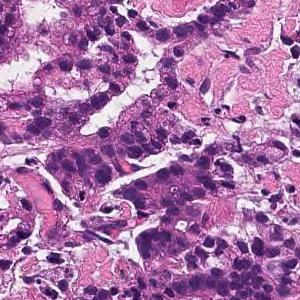
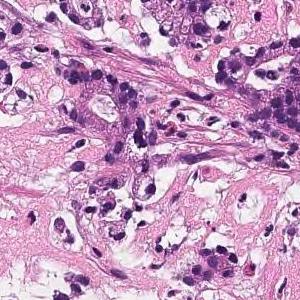
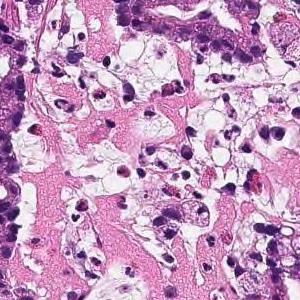
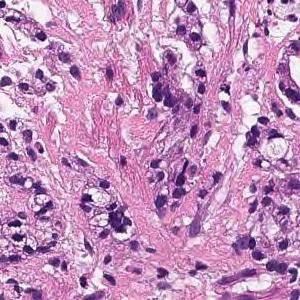
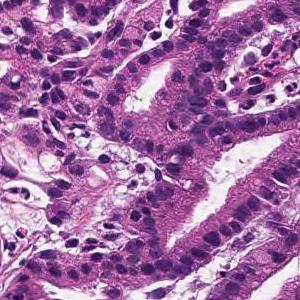
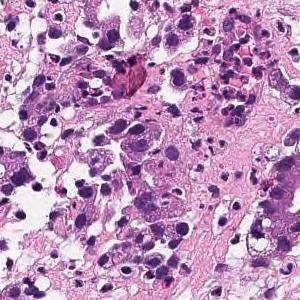
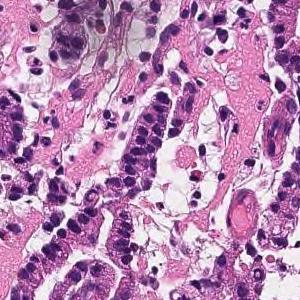
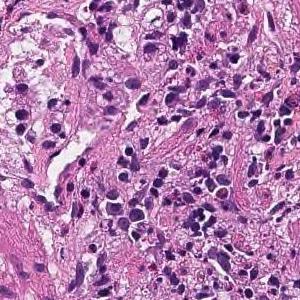
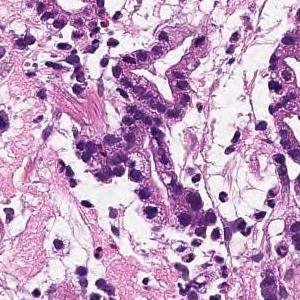
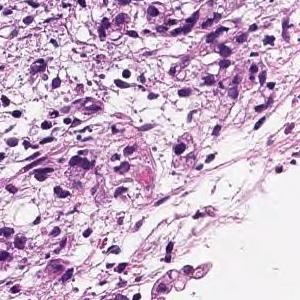
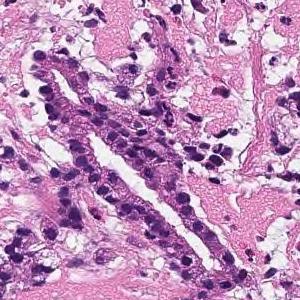
Scanned at ×20 · 11 tiles from the same stomach biopsy slide · 300 × 300 pixels each.
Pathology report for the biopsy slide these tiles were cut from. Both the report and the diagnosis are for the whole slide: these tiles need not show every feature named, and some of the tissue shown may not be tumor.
In the superficial epithelium, tumor tissue that invades by forming medium-sized to small, irregular ducts is observed. moderately differentiated tubular adenocarcinoma.
